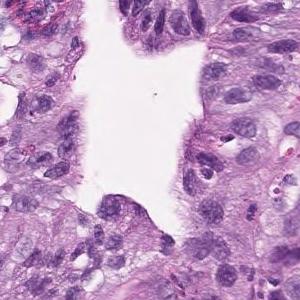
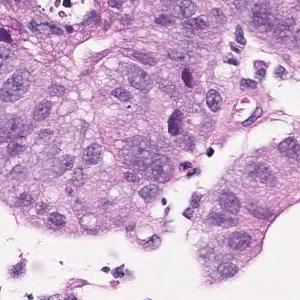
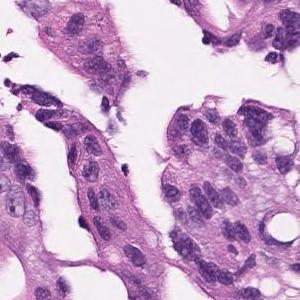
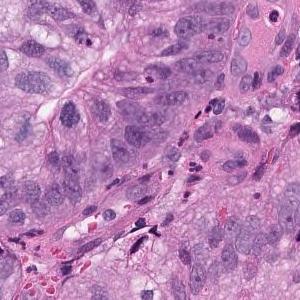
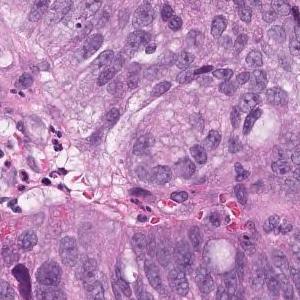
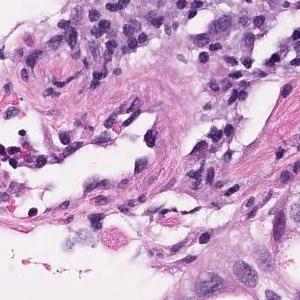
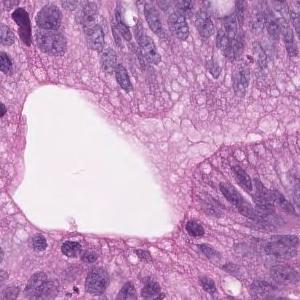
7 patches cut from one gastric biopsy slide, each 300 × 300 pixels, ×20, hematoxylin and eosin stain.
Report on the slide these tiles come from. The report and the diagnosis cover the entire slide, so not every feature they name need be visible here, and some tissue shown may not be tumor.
On the superficial epithelium, tumor tissue consisting of medium to small irregular tubules partially fused and proliferated is observed. Well differentiated tubular adenocarcinoma
